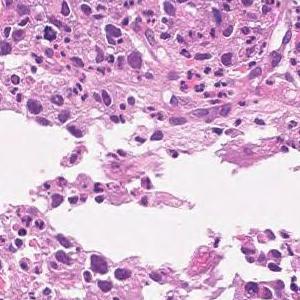
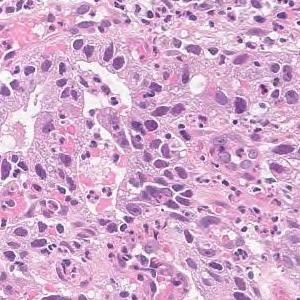
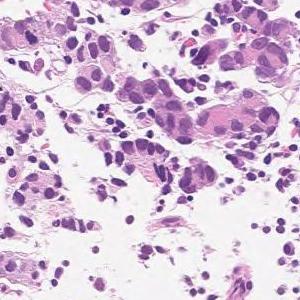
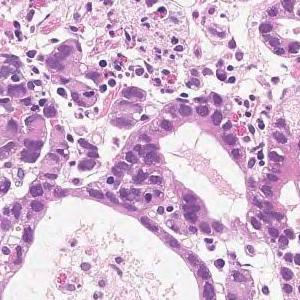
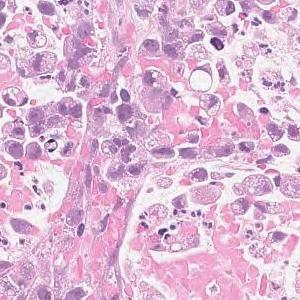
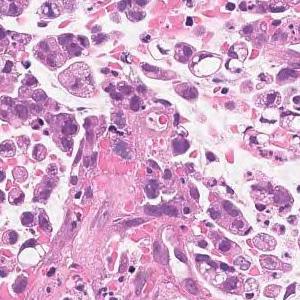
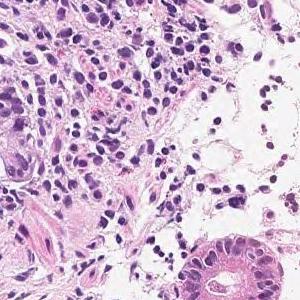
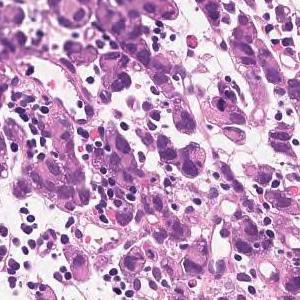
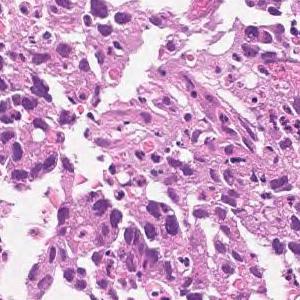
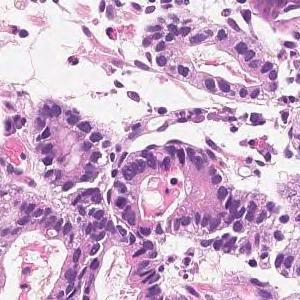
10 patches cut from one gastric biopsy slide.
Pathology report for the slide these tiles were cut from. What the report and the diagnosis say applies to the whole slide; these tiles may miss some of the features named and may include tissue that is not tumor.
Medium to small, irregular glandular ducts are formed in the superficial epithelium, and in some cases, the glandular ducts are fused to show solid alveolar lesions and infiltrating tumor tissue is observed. Moderately to poorly differentiated adenocarcinoma.
